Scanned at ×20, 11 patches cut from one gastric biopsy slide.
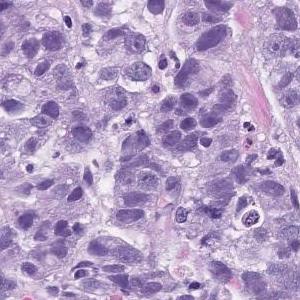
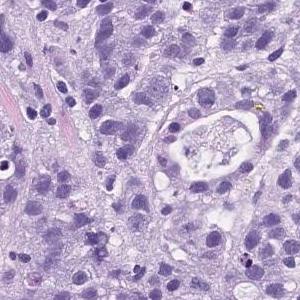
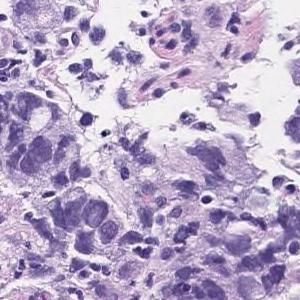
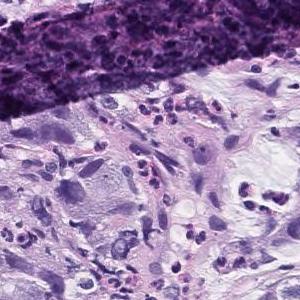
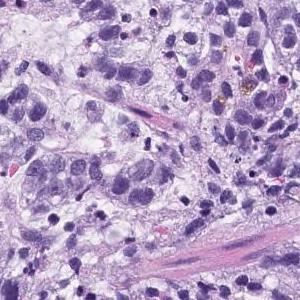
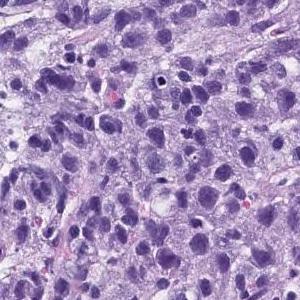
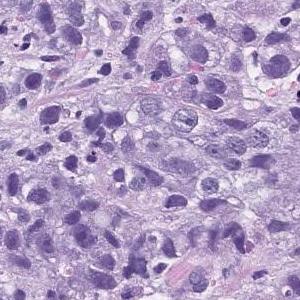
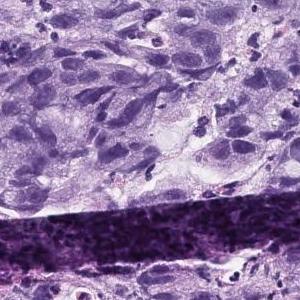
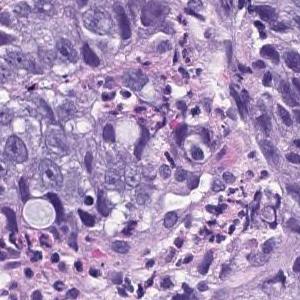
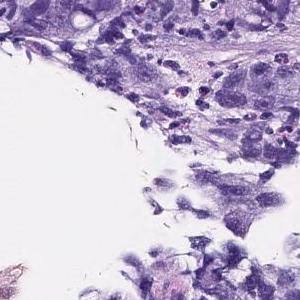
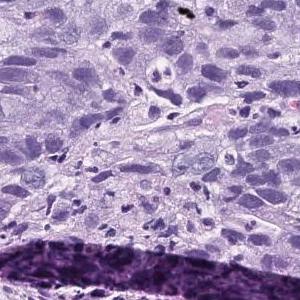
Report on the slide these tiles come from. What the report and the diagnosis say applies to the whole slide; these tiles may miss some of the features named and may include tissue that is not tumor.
Atypical l cells with atypical nuclei forming solid vesicles or small irregular atypical ducts that proliferate in a complex manner. poorly differentiated adenocarcinoma, solid type, moderately differentiated tubular adenocarcinoma
The term "solid type" comes from the Japanese Classification of Gastric Carcinoma; the WHO 2019 equivalent is tubular adenocarcinoma, poorly differentiated.
